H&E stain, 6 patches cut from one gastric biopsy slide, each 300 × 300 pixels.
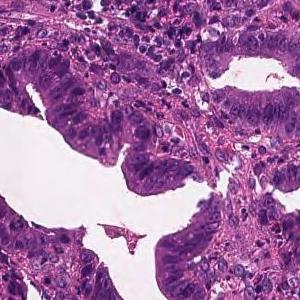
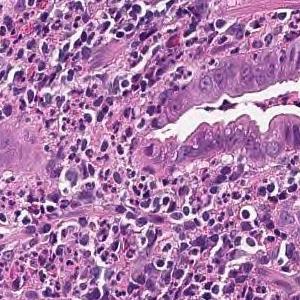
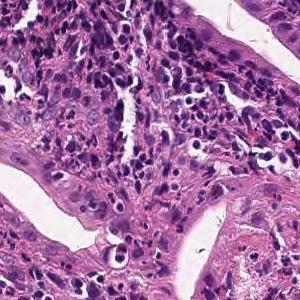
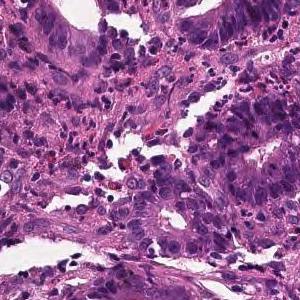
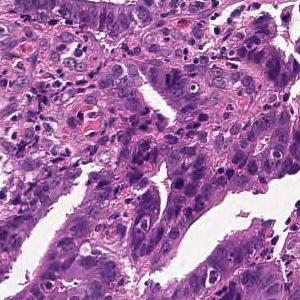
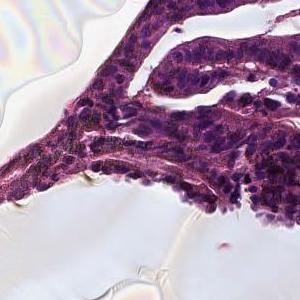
Pathology report for the slide these tiles were cut from. The findings and the diagnosis refer to the entire slide; these tiles show only part of it, possibly with non-tumor tissue, and may not show every feature named.
From the superficial epithelium to the muscularis mucosae, tumor tissue consisting of medium-sized and irregular glandular ducts infiltrating is observed. Well differentiated tubular adenocarcinoma
